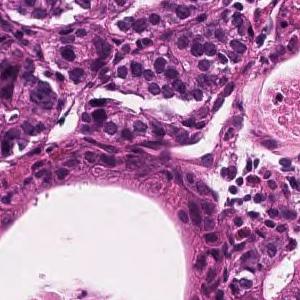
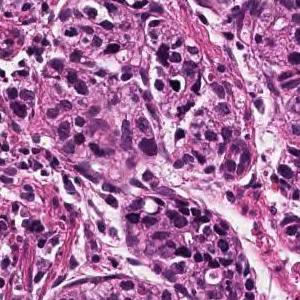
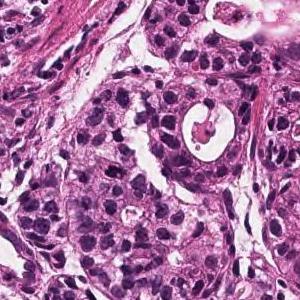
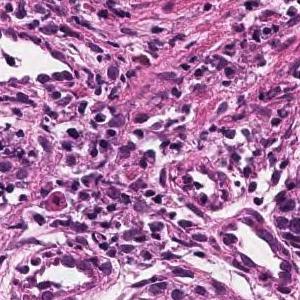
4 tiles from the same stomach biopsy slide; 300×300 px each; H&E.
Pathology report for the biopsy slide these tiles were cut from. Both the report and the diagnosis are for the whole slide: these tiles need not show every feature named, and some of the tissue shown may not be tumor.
Tumor tissue consisting of medium-sized and irregular ducts is observed infiltrating in the superficial epithelium. Tumor cells are highly columnar, with nuclei aligned basolaterally and polarized. Well differentiated tubular adenocarcinoma.
